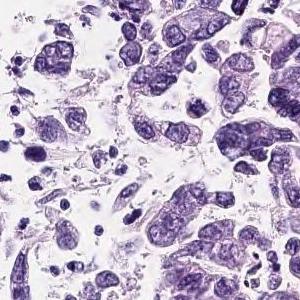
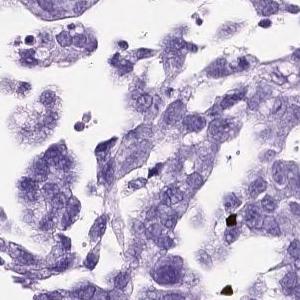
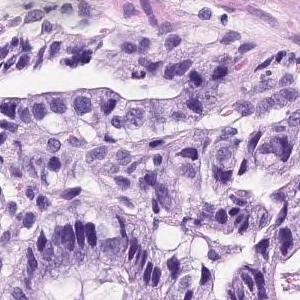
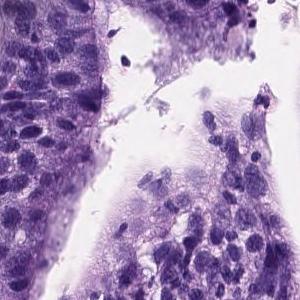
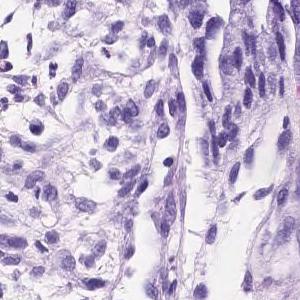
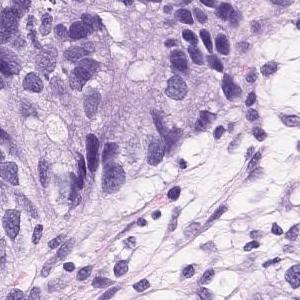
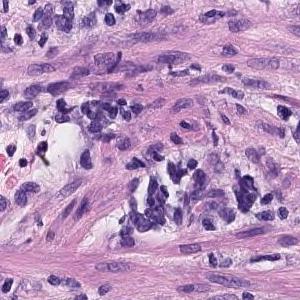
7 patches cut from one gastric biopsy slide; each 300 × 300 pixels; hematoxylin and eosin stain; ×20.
Pathology report for the slide these tiles were cut from. Both the report and the diagnosis are for the whole slide: these tiles need not show every feature named, and some of the tissue shown may not be tumor.
On the superficial epithelium, tumor tissue consisting of medium to small irregular tubules partially fused and proliferated is observed. moderately differentiated tubular adenocarcinoma
